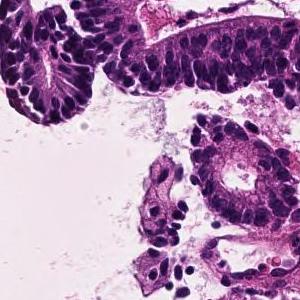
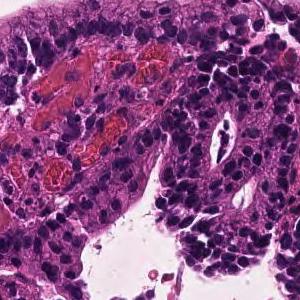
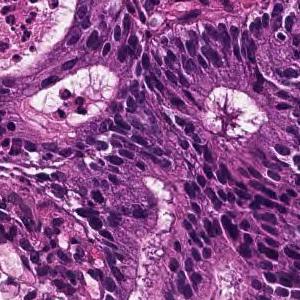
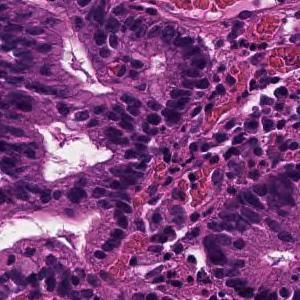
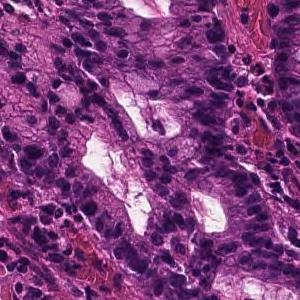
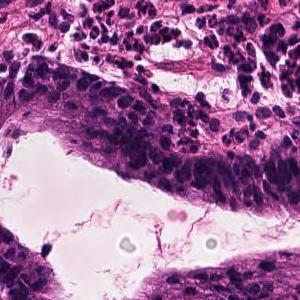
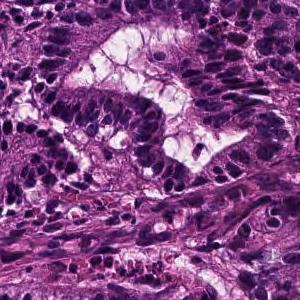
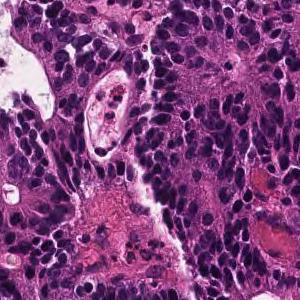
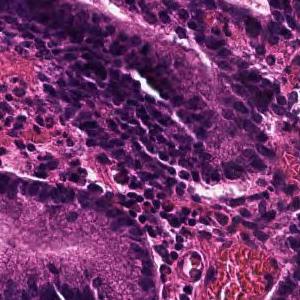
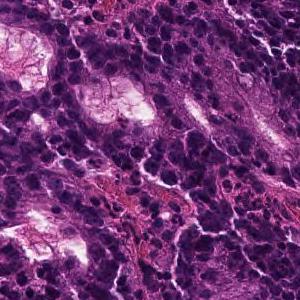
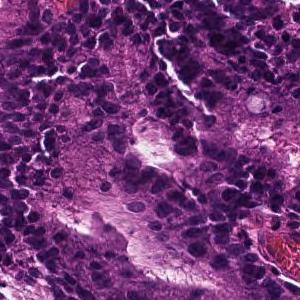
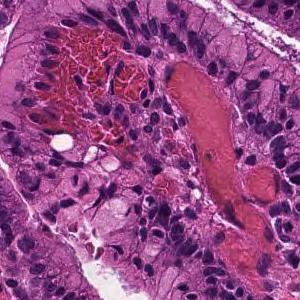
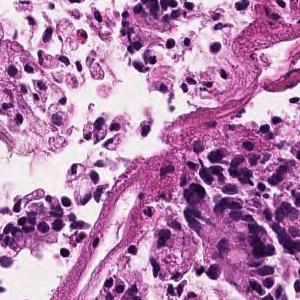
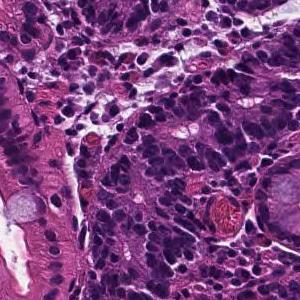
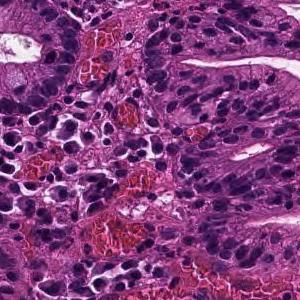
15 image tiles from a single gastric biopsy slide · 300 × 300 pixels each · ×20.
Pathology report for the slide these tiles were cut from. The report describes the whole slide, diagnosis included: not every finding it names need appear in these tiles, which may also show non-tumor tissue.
In the superficial epithelium, tumor tissue that invades by forming medium-sized to small, irregular ducts is observed. moderately differentiated tubular adenocarcinoma.
